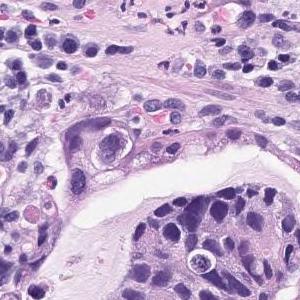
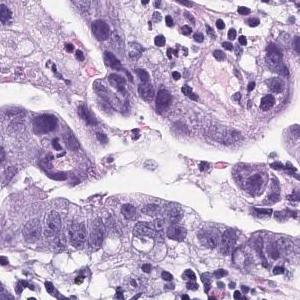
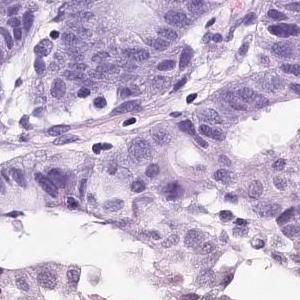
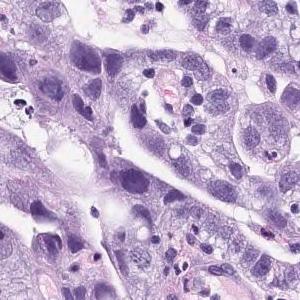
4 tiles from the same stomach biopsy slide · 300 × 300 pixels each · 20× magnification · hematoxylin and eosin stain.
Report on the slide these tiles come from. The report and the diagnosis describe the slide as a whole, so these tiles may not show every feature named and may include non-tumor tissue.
In the superficial epithelium, tumor tissue that invades by forming medium-sized to small, irregular ducts is observed. Moderately differentiated adenocarcinoma.
Histological subtype: Moderately differentiated tubular adenocarcinoma.
